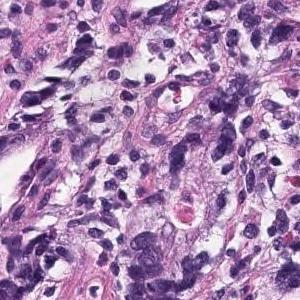
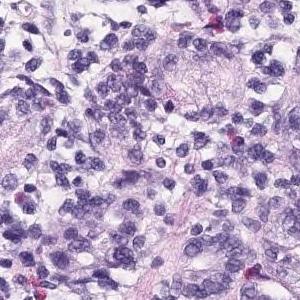
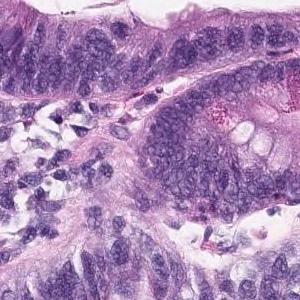
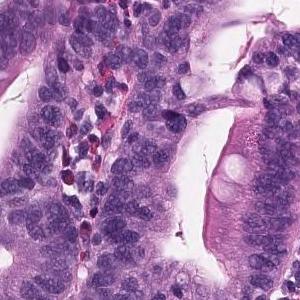
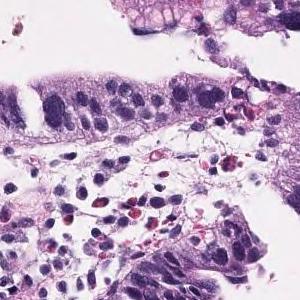
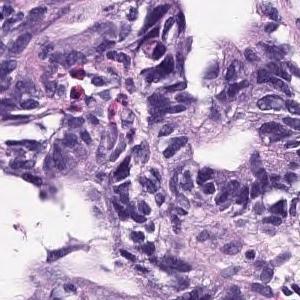
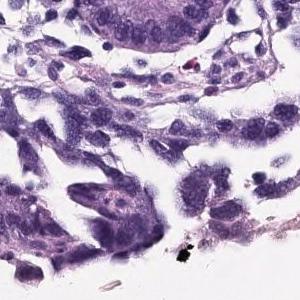
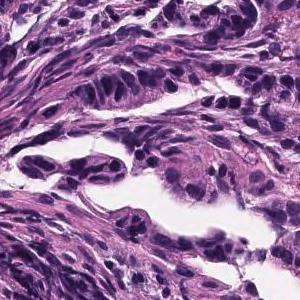
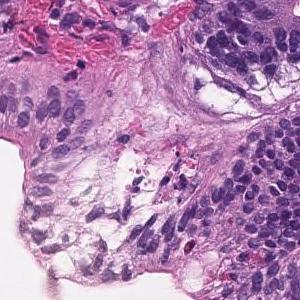
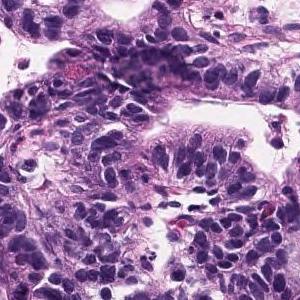
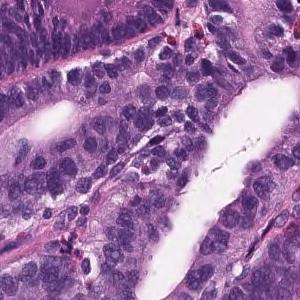
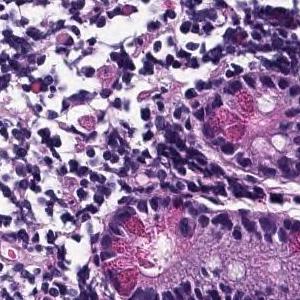
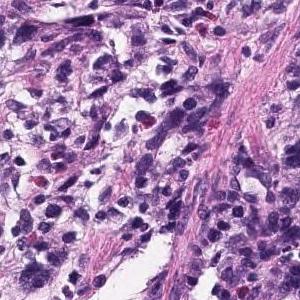
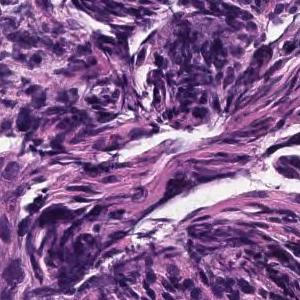
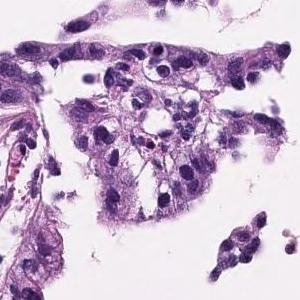
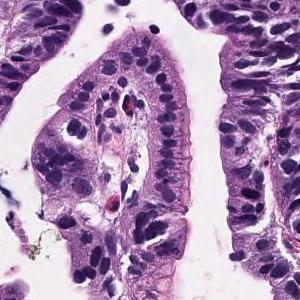
H&E stain, 16 tiles cut from one stomach biopsy slide, 300 × 300 pixels each.
Pathology report for the slide these tiles were cut from. Both the report and the diagnosis are for the whole slide: these tiles need not show every feature named, and some of the tissue shown may not be tumor.
Tumor cells are large, highly columnar, large club-shaped nuclei, and are associated with chromatin aggregation. Papillary adenocarcinoma.
